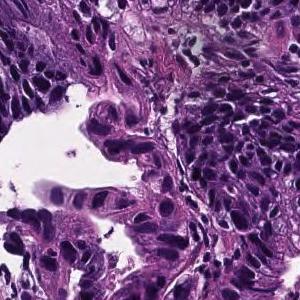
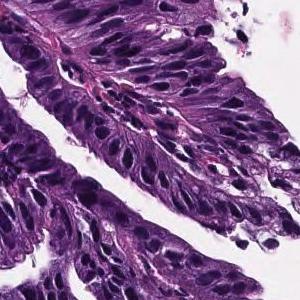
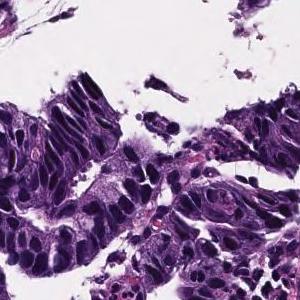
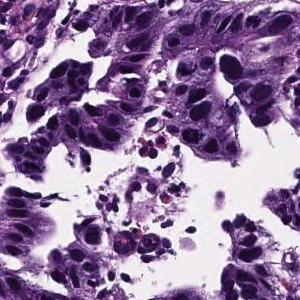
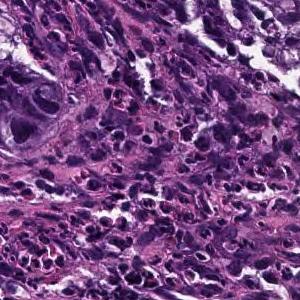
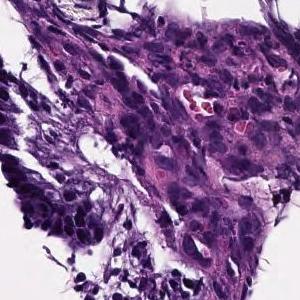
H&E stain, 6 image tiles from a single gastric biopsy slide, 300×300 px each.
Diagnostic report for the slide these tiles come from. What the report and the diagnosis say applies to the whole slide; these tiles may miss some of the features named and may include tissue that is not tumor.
In the superficial epithelium, tumor tissue that invades by forming medium-sized to small, irregular ducts is observed. Moderately differentiated adenocarcinoma.
Histological subtype: Moderately differentiated tubular adenocarcinoma.
